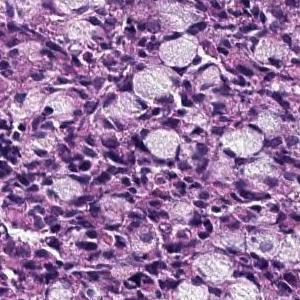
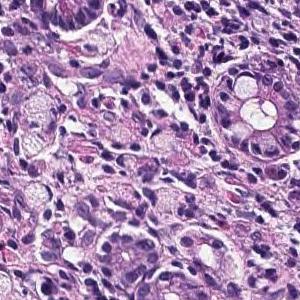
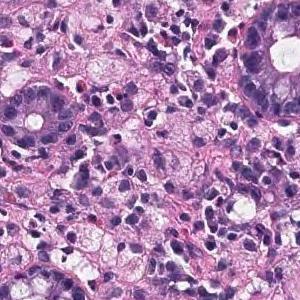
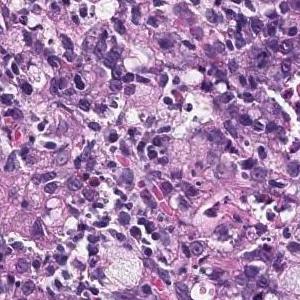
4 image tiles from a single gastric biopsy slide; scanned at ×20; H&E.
The pathologist's report on the biopsy slide these tiles were taken from. The report describes the whole slide, diagnosis included: not every finding it names need appear in these tiles, which may also show non-tumor tissue.
A tumor tissue consisting of signet ring cell carcinoma cells is observed in the lamina propria. Signet ring cell carcinoma.
